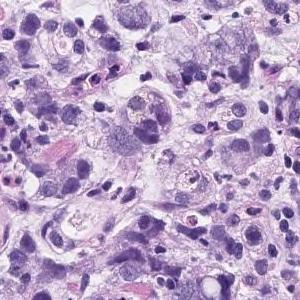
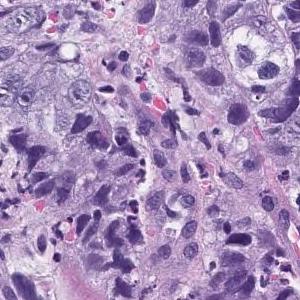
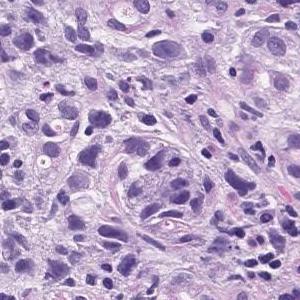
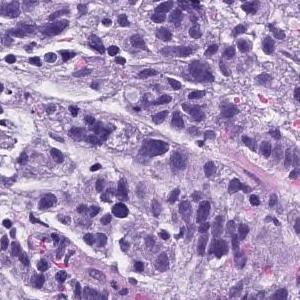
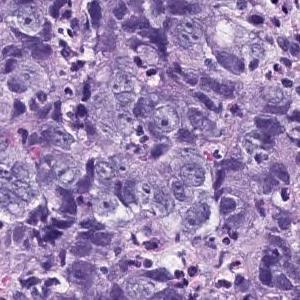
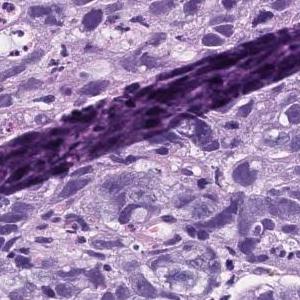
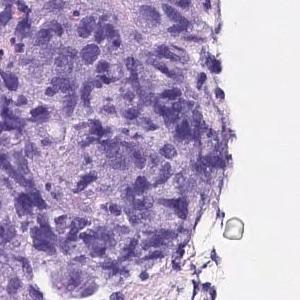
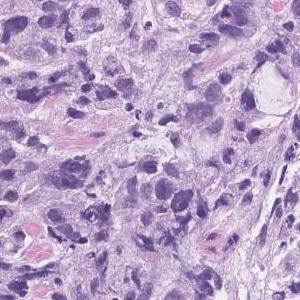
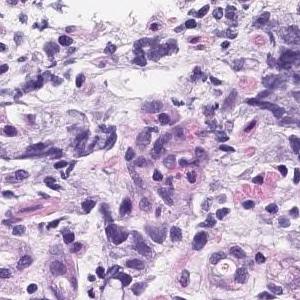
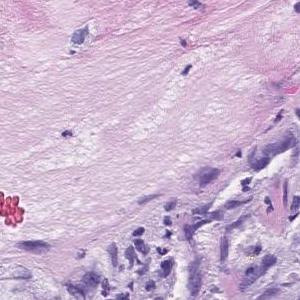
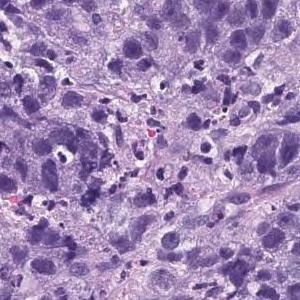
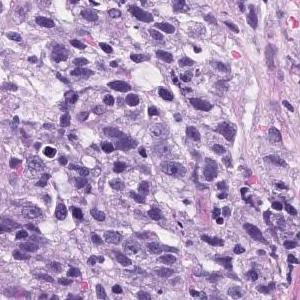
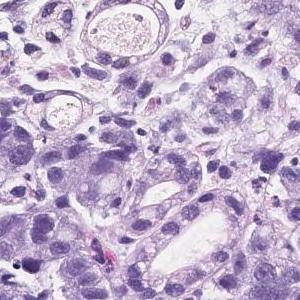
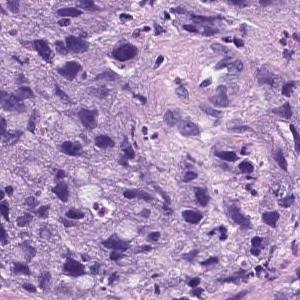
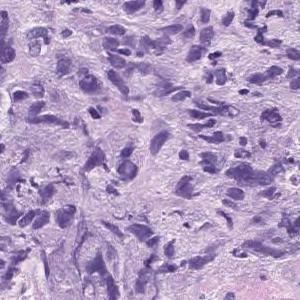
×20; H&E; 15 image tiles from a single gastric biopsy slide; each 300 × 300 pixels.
Report on the slide these tiles come from. The report describes the whole slide, diagnosis included: not every finding it names need appear in these tiles, which may also show non-tumor tissue.
Atypical l cells with atypical nuclei forming solid vesicles or small irregular atypical ducts that proliferate in a complex manner. poorly differentiated adenocarcinoma, solid type, moderately differentiated tubular adenocarcinoma
The term "solid type" comes from the Japanese Classification of Gastric Carcinoma; the WHO 2019 equivalent is tubular adenocarcinoma, poorly differentiated.
